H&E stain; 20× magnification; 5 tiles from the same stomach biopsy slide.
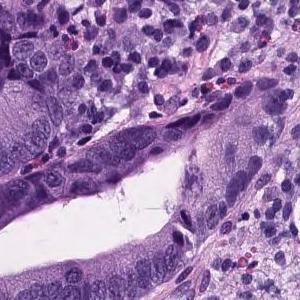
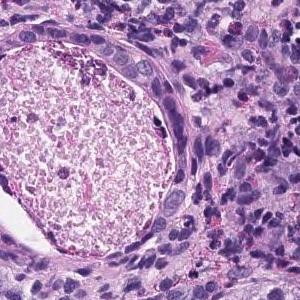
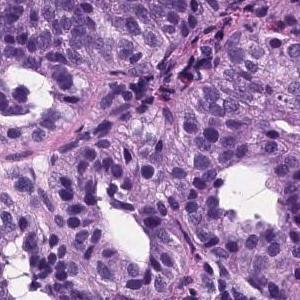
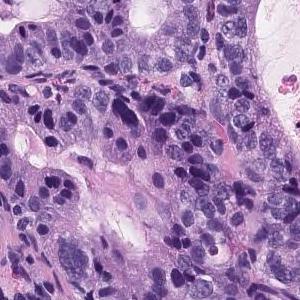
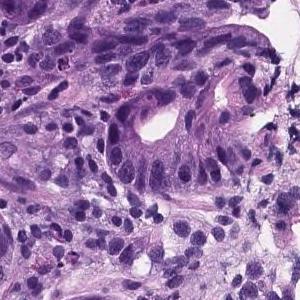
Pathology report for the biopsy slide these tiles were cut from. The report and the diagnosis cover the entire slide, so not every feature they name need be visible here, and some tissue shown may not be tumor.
Tumor tissue consisting of medium-sized and irregular ducts is observed infiltrating in the superficial epithelium. Tumor cells are highly columnar, with nuclei aligned basolaterally and polarized. Well differentiated tubular adenocarcinoma.
